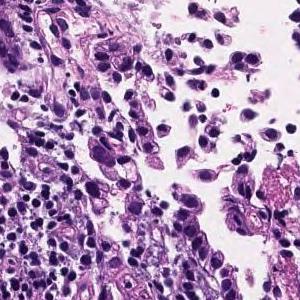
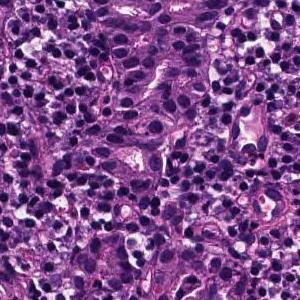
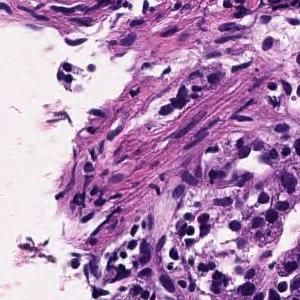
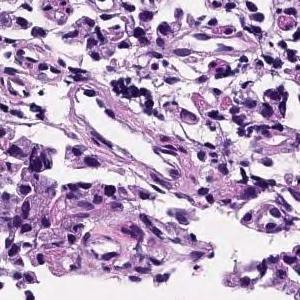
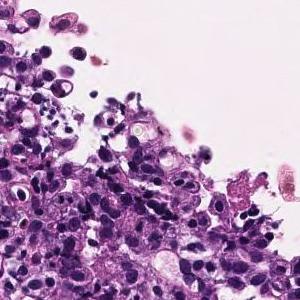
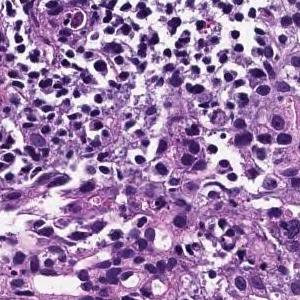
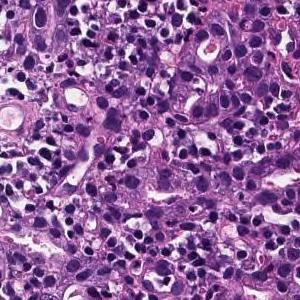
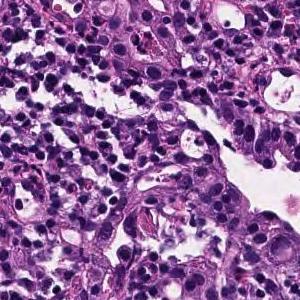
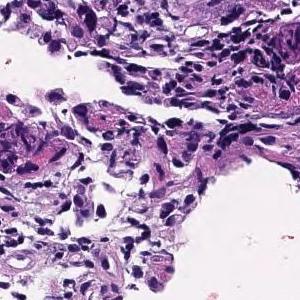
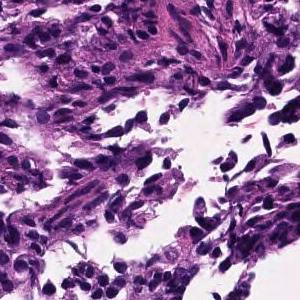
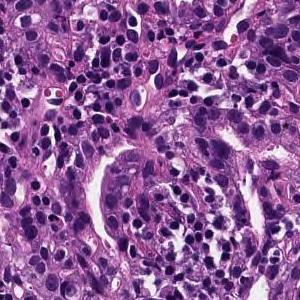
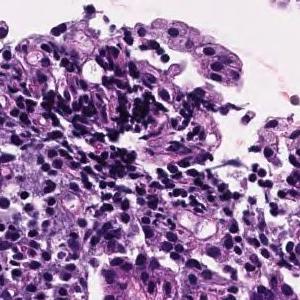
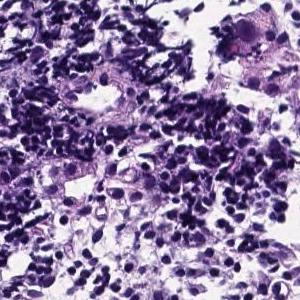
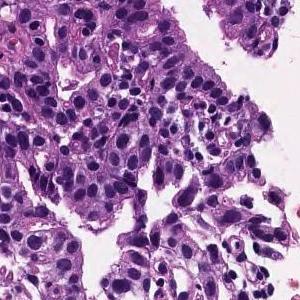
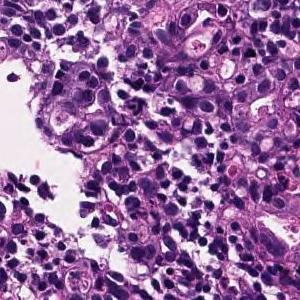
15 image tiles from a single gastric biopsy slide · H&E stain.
Report on the slide these tiles come from. The report and the diagnosis cover the entire slide, so not every feature they name need be visible here, and some tissue shown may not be tumor.
Medium to small, irregular glandular ducts are formed in the superficial epithelium, and in some cases, the glandular ducts are fused to show solid alveolar lesions and infiltrating tumor tissue is observed. Moderately to poorly differentiated adenocarcinoma.
